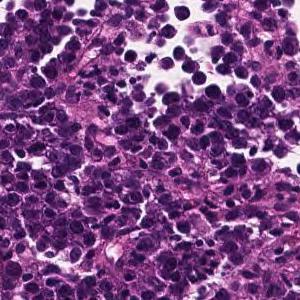
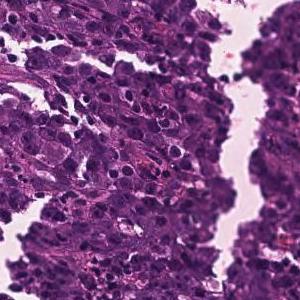
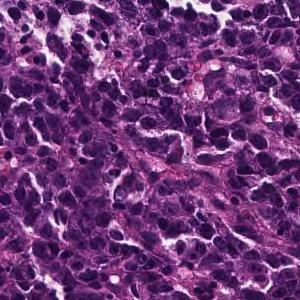
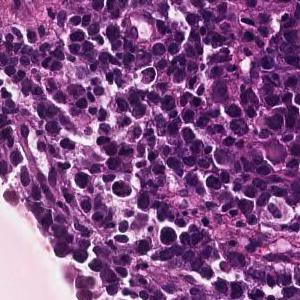
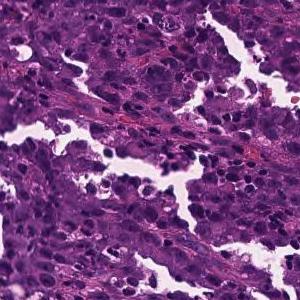
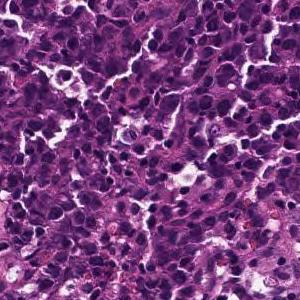
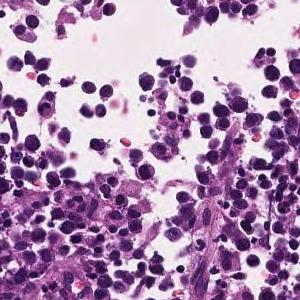
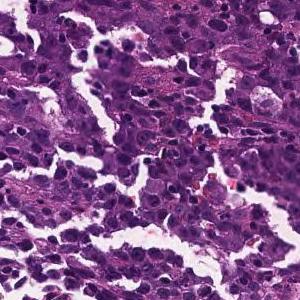
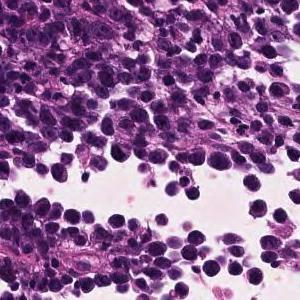
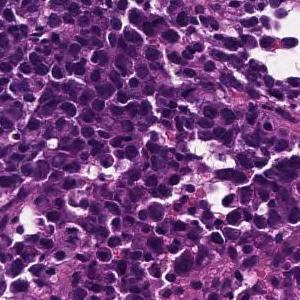
10 image tiles from a single gastric biopsy slide; 300 × 300 pixels each; H&E.
The pathologist's report on the biopsy slide these tiles were taken from. What the report and the diagnosis say applies to the whole slide; these tiles may miss some of the features named and may include tissue that is not tumor.
The superficial epithelium shows a large sheet-like shape, and some tumor tissue infiltrates with small irregular ducts. Poorly differentiated adenocarcinoma, solid-type
Histological subtype: Poorly differentiated adenocarcinoma, solid type. This name comes from the Japanese Classification of Gastric Carcinoma; the WHO 2019 classification calls it tubular adenocarcinoma, poorly differentiated.
